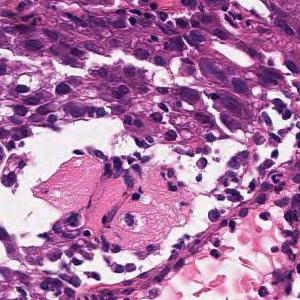
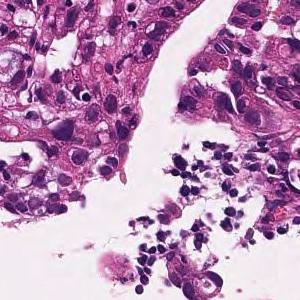
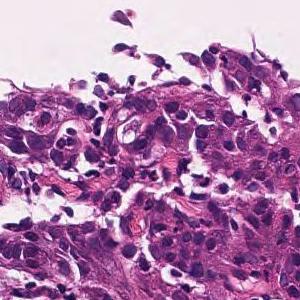
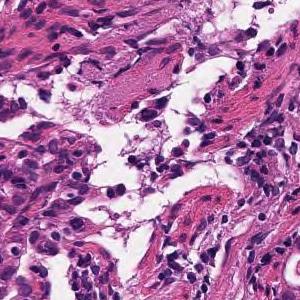
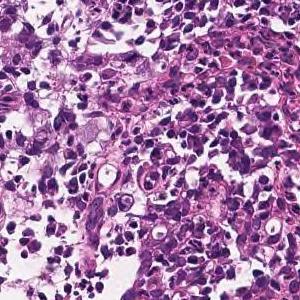
H&E, 20× magnification, 5 image tiles from a single gastric biopsy slide.
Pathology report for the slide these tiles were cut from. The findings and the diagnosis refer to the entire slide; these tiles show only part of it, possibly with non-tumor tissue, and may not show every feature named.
Tumor tissue consisting of cord-like or small, irregular glandular ducts fused and infiltrated is observed in the superficial epithelium. Poorly differentiated adenocarcinoma, non-solid type
"Non-solid type" is a category of the Japanese Classification of Gastric Carcinoma.
